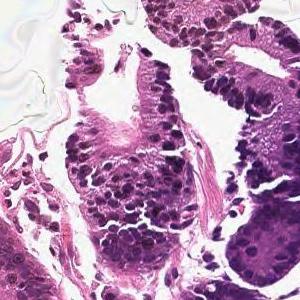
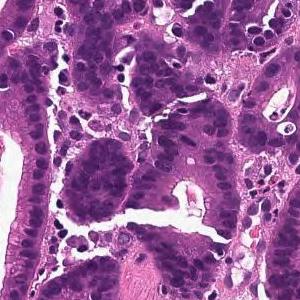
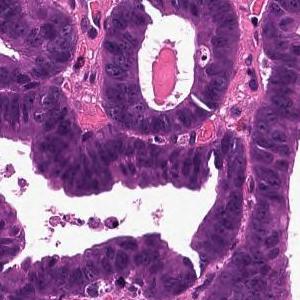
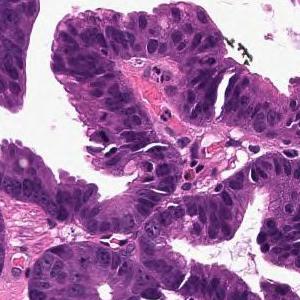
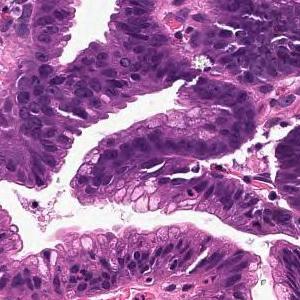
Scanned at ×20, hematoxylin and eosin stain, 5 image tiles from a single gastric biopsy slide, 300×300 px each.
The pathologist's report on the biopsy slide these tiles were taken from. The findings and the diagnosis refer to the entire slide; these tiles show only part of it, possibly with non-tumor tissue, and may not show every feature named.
From the superficial epithelium to the muscularis mucosae, tumor tissue consisting of medium-sized and irregular glandular ducts infiltrating is observed. Well differentiated tubular adenocarcinoma
